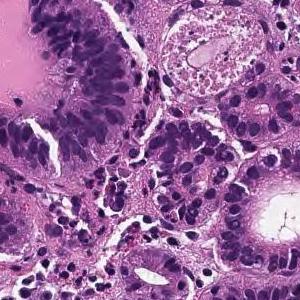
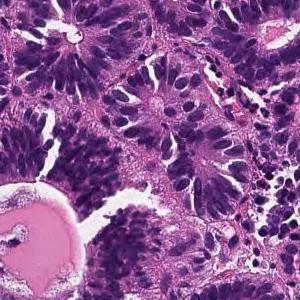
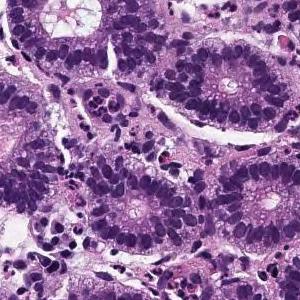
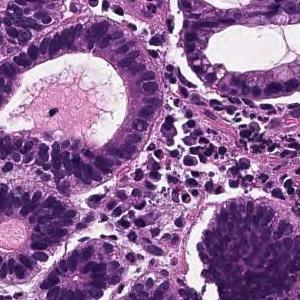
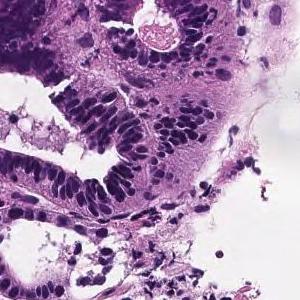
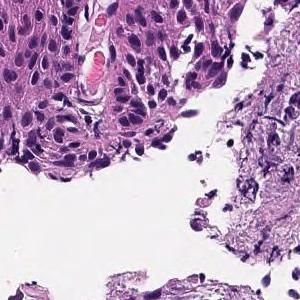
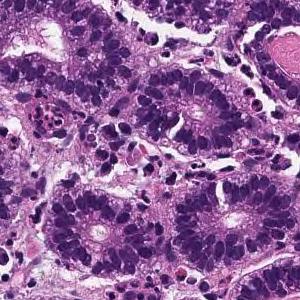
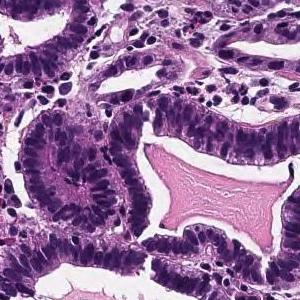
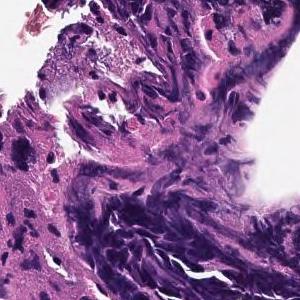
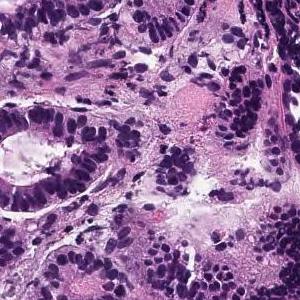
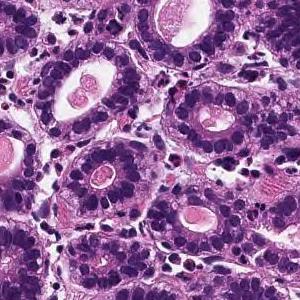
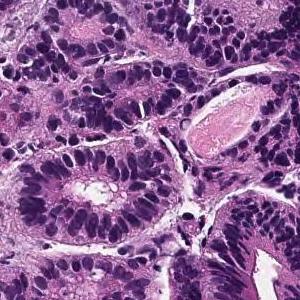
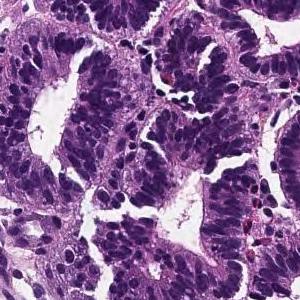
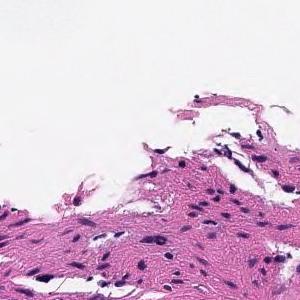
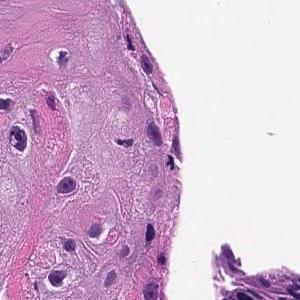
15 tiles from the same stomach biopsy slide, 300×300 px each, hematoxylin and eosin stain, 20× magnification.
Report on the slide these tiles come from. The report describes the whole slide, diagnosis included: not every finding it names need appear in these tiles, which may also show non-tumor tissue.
From the superficial epithelium to the muscularis mucosae, tumor tissue consisting of medium-sized and irregular glandular ducts infiltrating is observed. Well differentiated tubular adenocarcinoma
